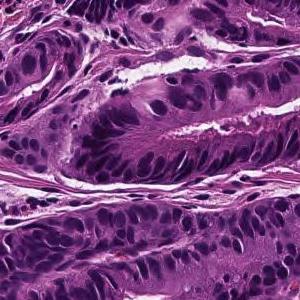
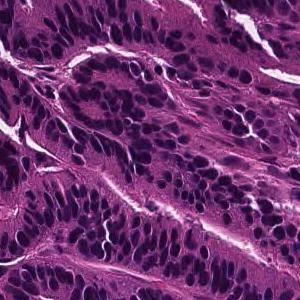
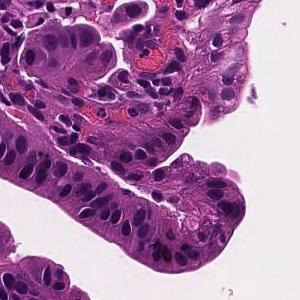
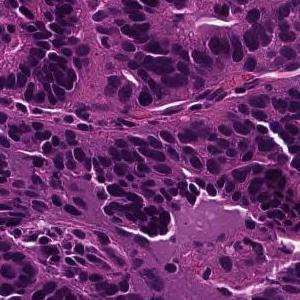
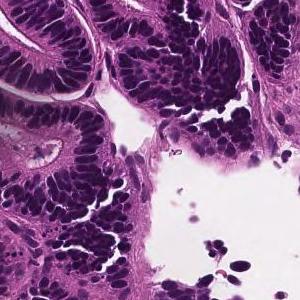
20× magnification; H&E; 5 tiles cut from one stomach biopsy slide.
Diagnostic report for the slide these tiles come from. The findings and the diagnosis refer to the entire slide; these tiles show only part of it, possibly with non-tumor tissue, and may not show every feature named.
From the superficial epithelium to the muscularis mucosae, tumor tissue consisting of medium-sized and irregular glandular ducts infiltrating is observed. Well differentiated tubular adenocarcinoma
